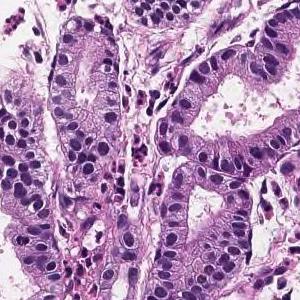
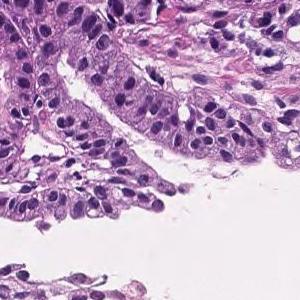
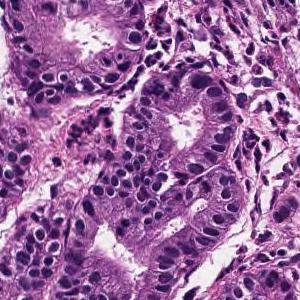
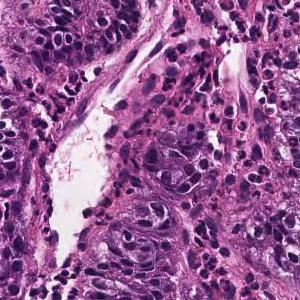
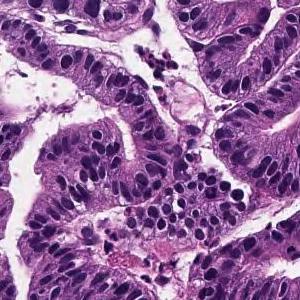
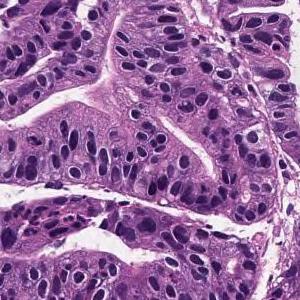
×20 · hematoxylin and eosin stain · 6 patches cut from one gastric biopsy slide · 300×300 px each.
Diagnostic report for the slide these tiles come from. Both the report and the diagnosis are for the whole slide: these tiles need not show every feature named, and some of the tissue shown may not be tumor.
On the superficial epithelium, tumor tissue that infiltrates by forming medium-sized round or small irregular ducts is observed. Papillary adenocarcinoma
